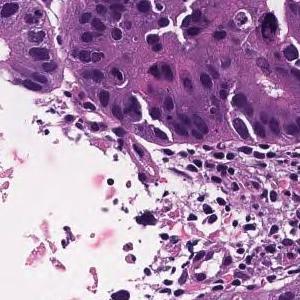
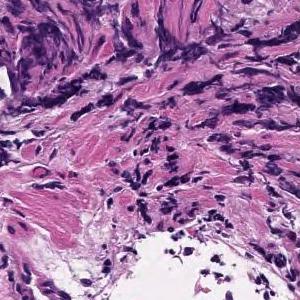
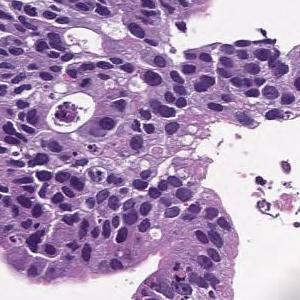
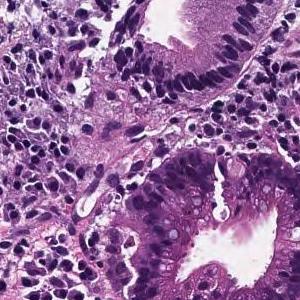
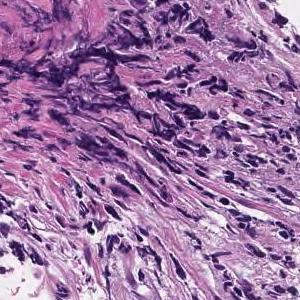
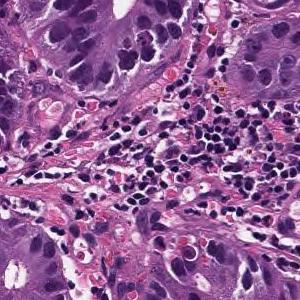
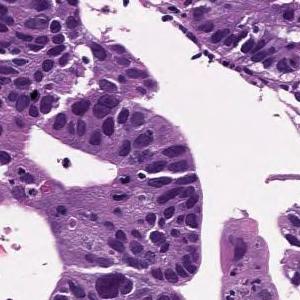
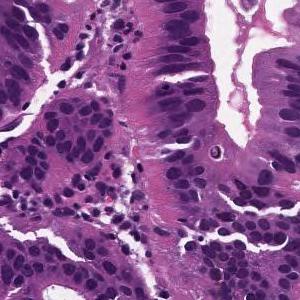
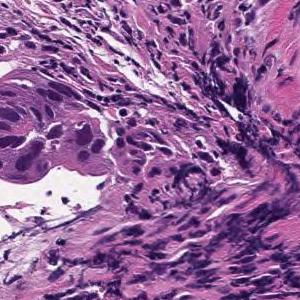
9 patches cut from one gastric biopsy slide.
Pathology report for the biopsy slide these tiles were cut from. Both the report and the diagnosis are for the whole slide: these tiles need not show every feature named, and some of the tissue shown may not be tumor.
Tumor cells are large, highly columnar, large club-shaped nuclei, and are associated with chromatin aggregation. Papillary adenocarcinoma.
